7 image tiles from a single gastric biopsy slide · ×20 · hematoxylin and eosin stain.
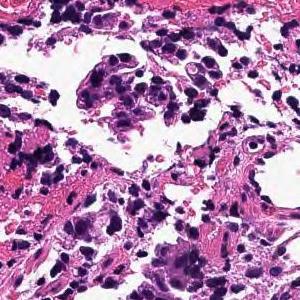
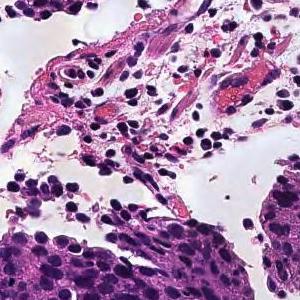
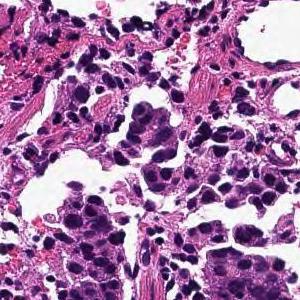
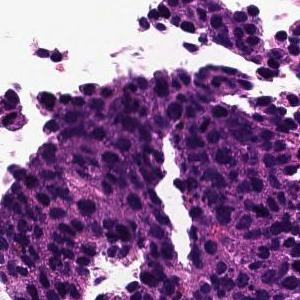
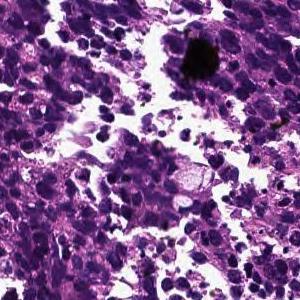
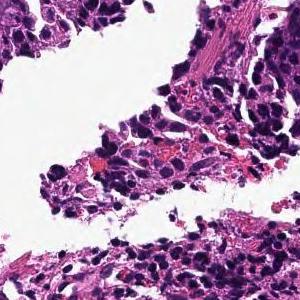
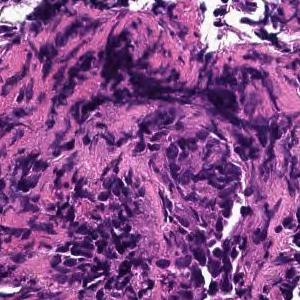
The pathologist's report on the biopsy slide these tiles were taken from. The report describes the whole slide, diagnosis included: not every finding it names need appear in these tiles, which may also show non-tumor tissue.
In the superficial epithelium, tumor tissue that invades by forming medium-sized to small, irregular ducts is observed. moderately differentiated tubular adenocarcinoma.
